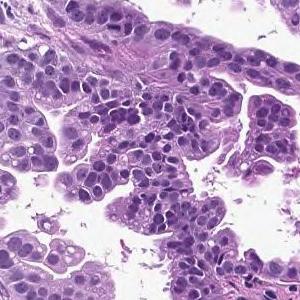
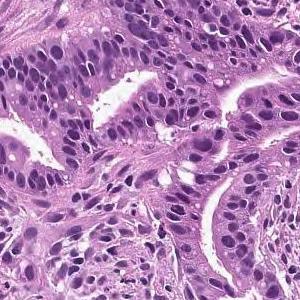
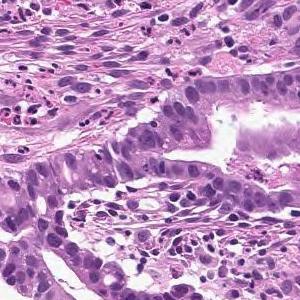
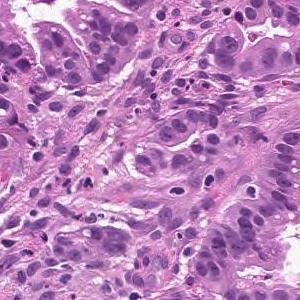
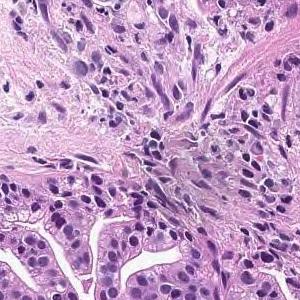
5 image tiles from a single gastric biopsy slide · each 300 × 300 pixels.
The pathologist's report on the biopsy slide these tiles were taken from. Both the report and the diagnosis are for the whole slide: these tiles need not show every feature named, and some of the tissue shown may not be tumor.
On the superficial epithelium, tumor tissue that infiltrates by forming medium-sized papillary or small irregular ducts is observed. Papillary adenocarcinoma
